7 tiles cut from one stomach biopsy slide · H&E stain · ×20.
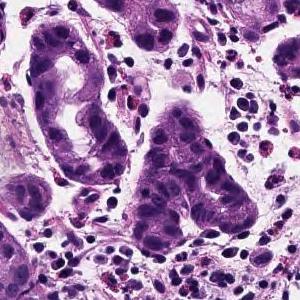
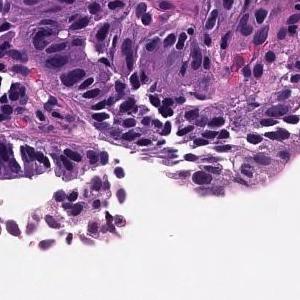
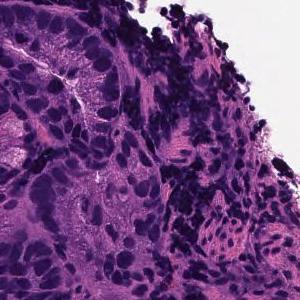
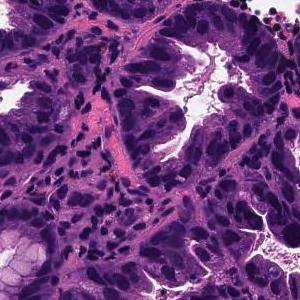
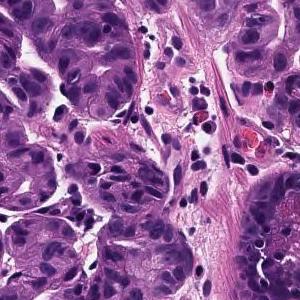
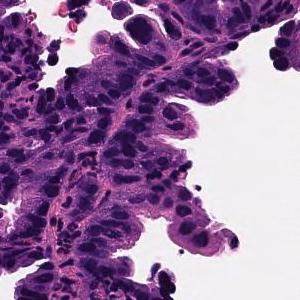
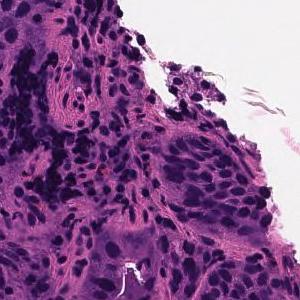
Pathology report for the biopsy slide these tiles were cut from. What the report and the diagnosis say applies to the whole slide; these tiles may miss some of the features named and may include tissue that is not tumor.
On the superficial epithelium, tumor tissue consisting of large irregular glandular ducts partially fused and infiltrated is observed. Well to moderately differentiated tubular adenocarcinoma (well differentiated tubular adenocarcinoma, moderately differentiated tubular adenocarcinoma)
Classified as well to moderately differentiated tubular adenocarcinoma.
